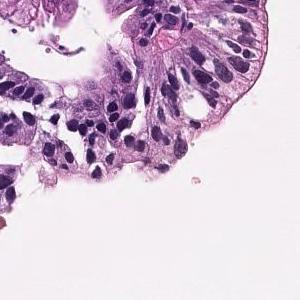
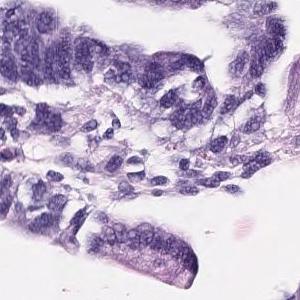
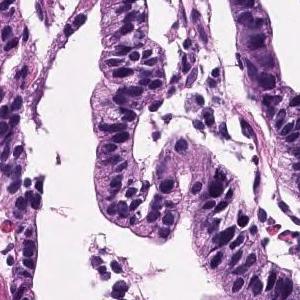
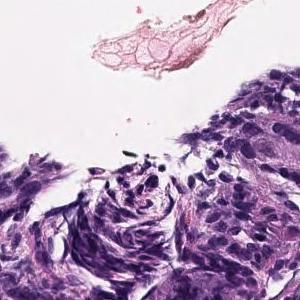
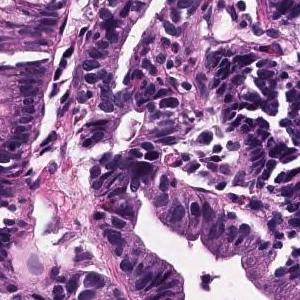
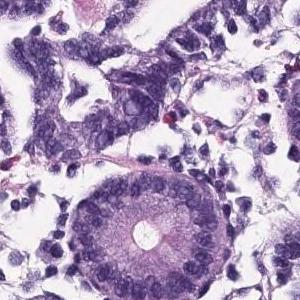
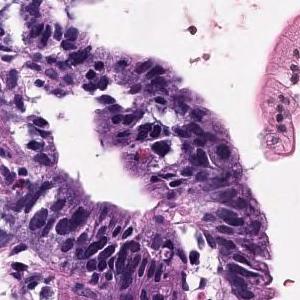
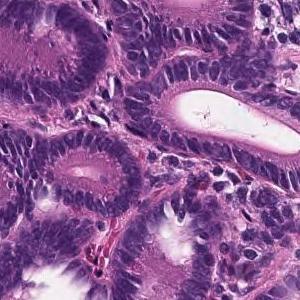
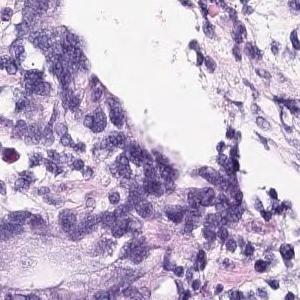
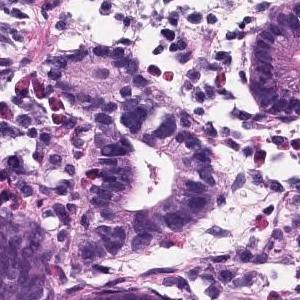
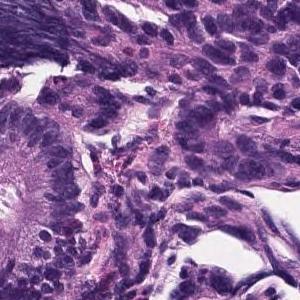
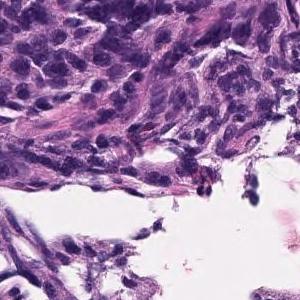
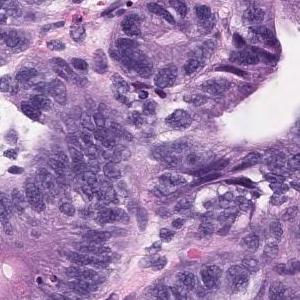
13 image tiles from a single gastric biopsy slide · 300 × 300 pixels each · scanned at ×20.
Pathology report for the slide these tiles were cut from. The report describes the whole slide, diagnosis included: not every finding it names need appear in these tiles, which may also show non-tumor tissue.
Tumor cells are large, highly columnar, large club-shaped nuclei, and are associated with chromatin aggregation. Papillary adenocarcinoma.
